H&E · 4 tiles cut from one stomach biopsy slide.
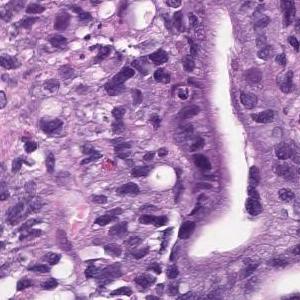
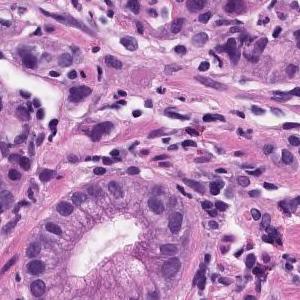
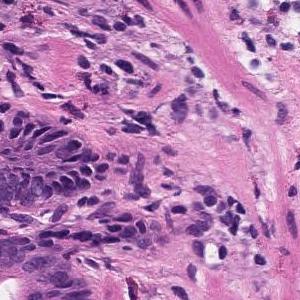
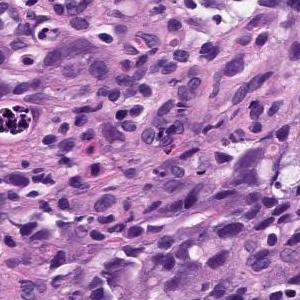
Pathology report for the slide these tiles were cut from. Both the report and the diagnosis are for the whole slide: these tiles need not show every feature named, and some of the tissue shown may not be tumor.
moderately differentiated tubular adenocarcinoma, Poorly differentiated adenocarcinoma
The dataset labels this slide poorly differentiated adenocarcinoma, solid type (Japanese Classification of Gastric Carcinoma). The WHO 2019 equivalent is tubular adenocarcinoma, poorly differentiated.
